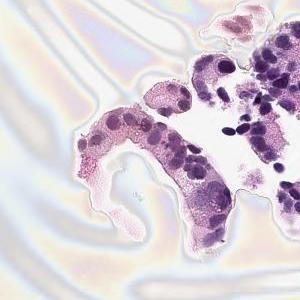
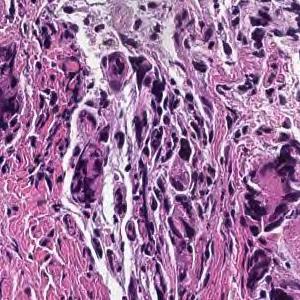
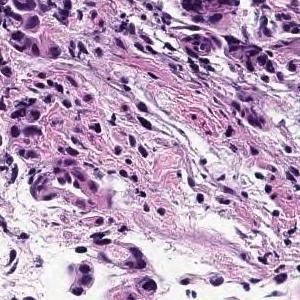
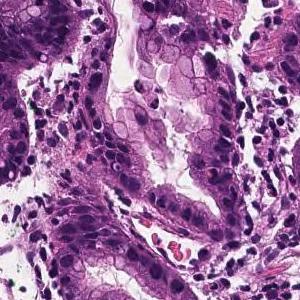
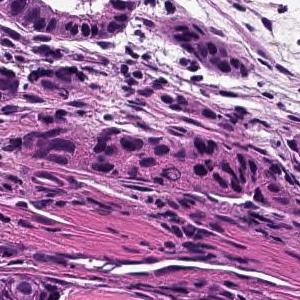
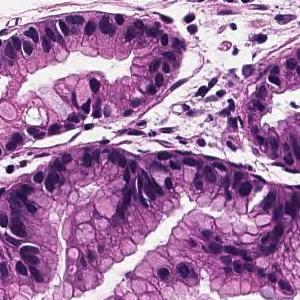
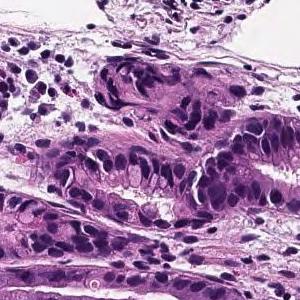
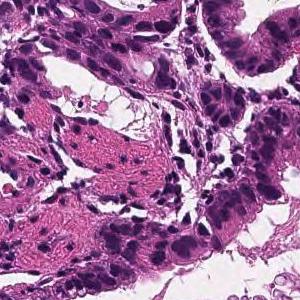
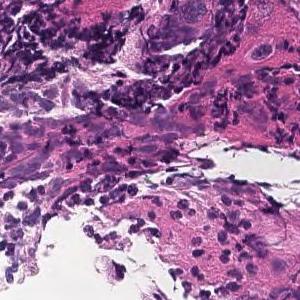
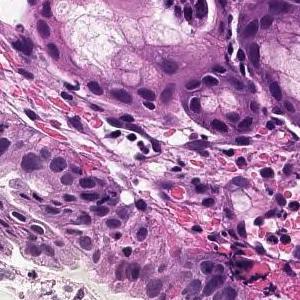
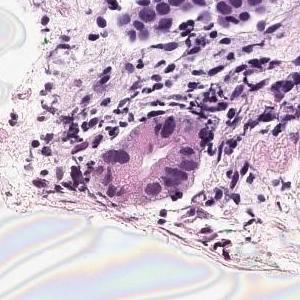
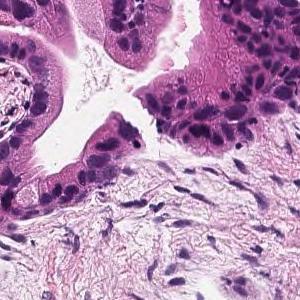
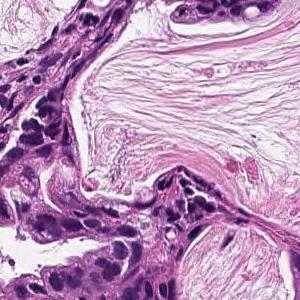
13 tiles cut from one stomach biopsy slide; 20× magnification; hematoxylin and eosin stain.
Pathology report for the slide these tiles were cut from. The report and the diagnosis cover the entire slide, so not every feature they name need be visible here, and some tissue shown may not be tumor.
Tumor cells are large, highly columnar, large club-shaped nuclei, and are associated with chromatin aggregation. Papillary adenocarcinoma.
